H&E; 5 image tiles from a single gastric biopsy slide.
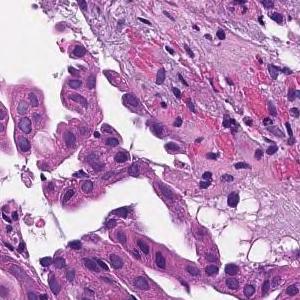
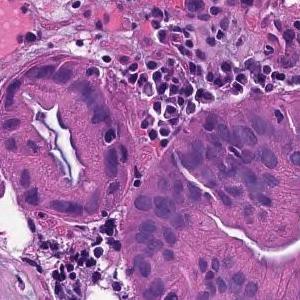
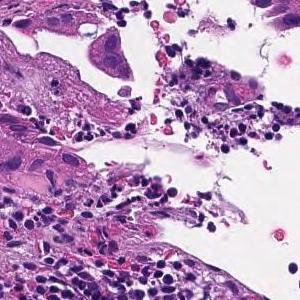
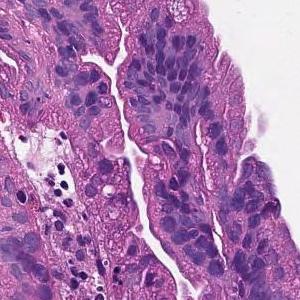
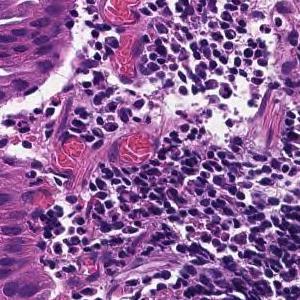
Pathology report for the biopsy slide these tiles were cut from. The report describes the whole slide, diagnosis included: not every finding it names need appear in these tiles, which may also show non-tumor tissue.
On the superficial epithelium, tumor tissue that infiltrates by forming medium-sized papillary or small irregular ducts is observed. Papillary adenocarcinoma
